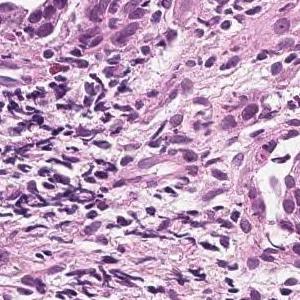
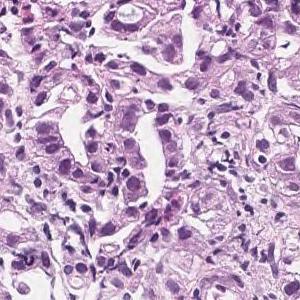
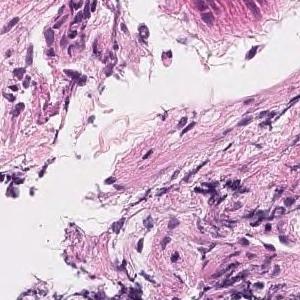
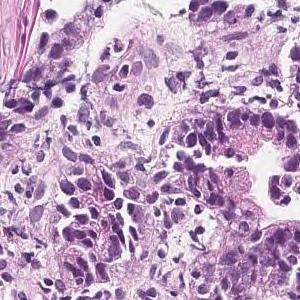
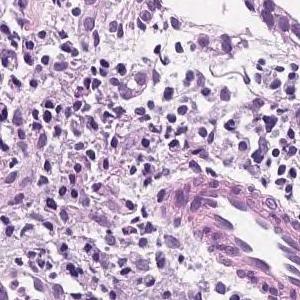
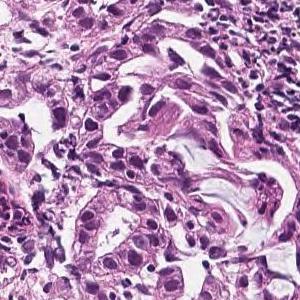
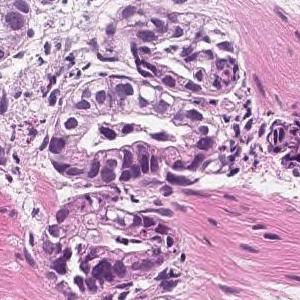
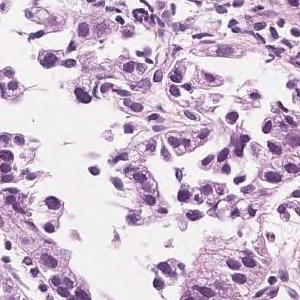
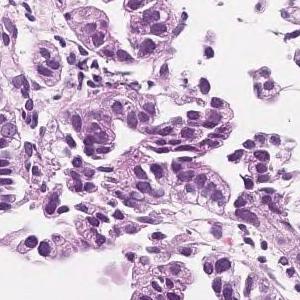
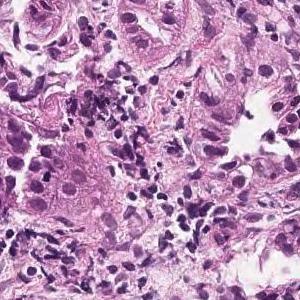
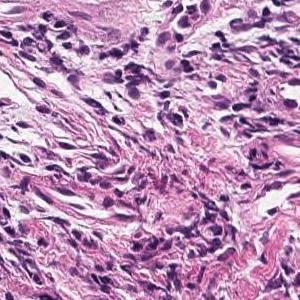
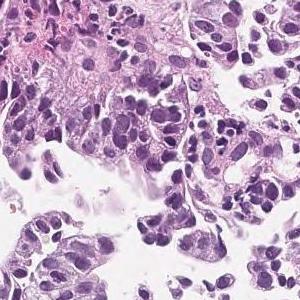
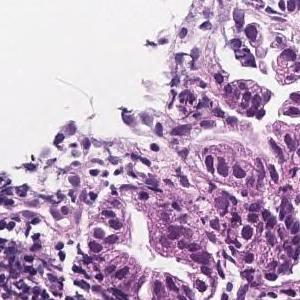
Scanned at ×20, 13 tiles from the same stomach biopsy slide, 300 × 300 pixels each.
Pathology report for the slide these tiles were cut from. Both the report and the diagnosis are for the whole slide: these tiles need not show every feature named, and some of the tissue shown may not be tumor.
In the superficial epithelium, tumor tissue that invades by forming medium-sized to small, irregular ducts is observed. moderately differentiated tubular adenocarcinoma.
